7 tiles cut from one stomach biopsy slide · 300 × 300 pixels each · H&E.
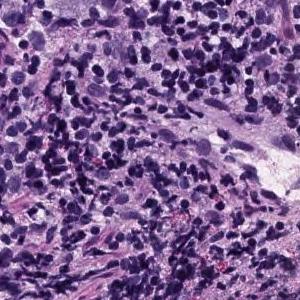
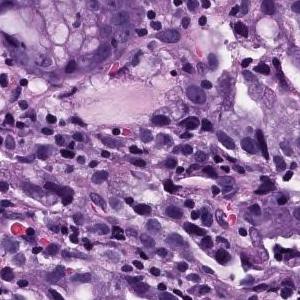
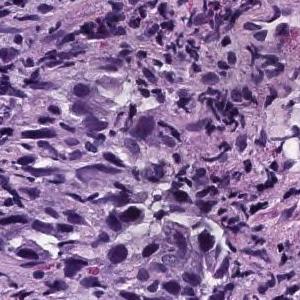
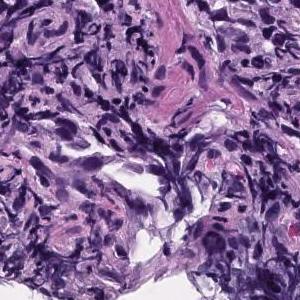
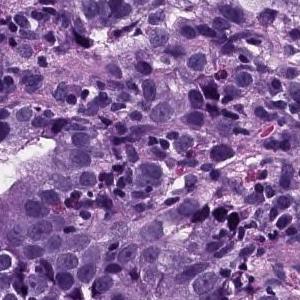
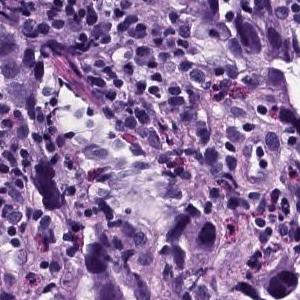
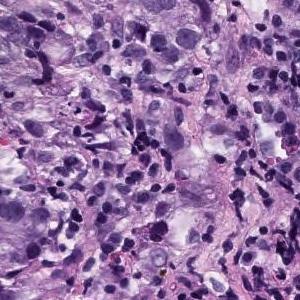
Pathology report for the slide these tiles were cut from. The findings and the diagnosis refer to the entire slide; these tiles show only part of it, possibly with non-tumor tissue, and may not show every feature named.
Atypical epithelial cells infiltrating and proliferating while forming solid or cord-like fused glandular cavities of different sizes is observed. moderately differentiated tubular adenocarcinoma, poorly differentiated adenocarcinoma.
Subtype: Moderately to poorly differentiated adenocarcinoma.
